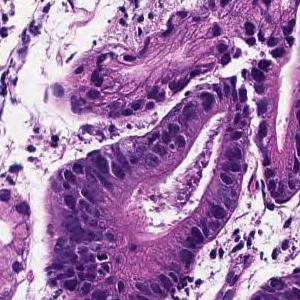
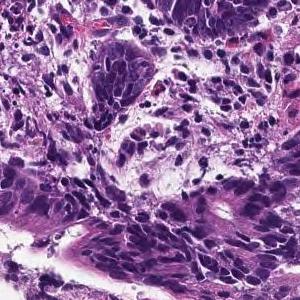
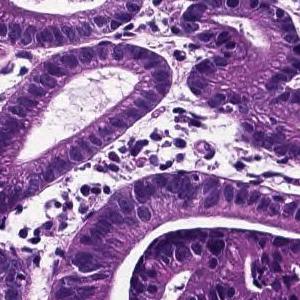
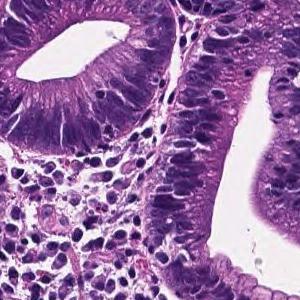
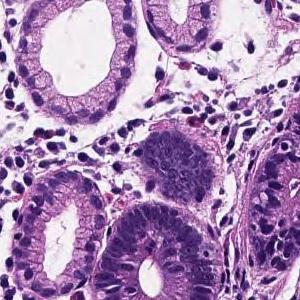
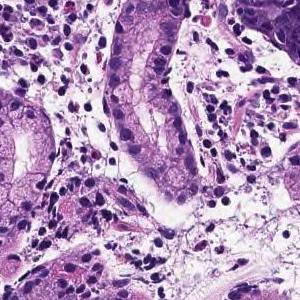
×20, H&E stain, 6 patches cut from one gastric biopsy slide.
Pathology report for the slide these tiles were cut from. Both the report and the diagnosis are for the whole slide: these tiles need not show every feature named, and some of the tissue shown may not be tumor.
From the superficial epithelium to the muscularis mucosae, tumor tissue consisting of medium-sized and irregular glandular ducts infiltrating is observed. Well differentiated tubular adenocarcinoma
